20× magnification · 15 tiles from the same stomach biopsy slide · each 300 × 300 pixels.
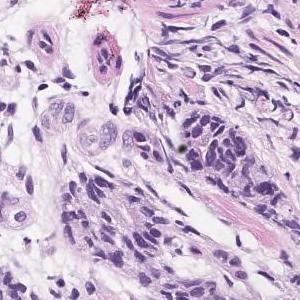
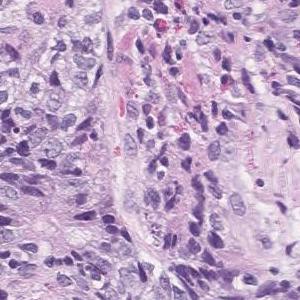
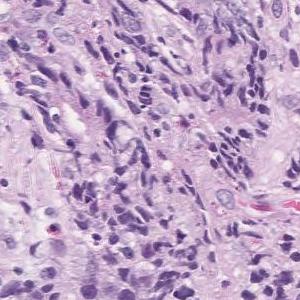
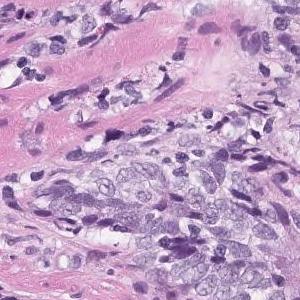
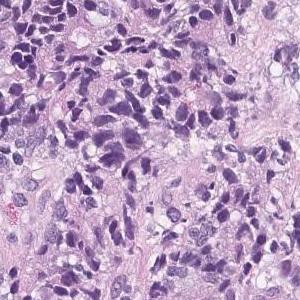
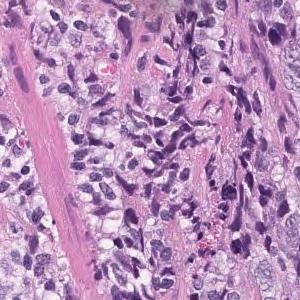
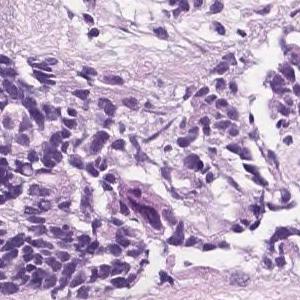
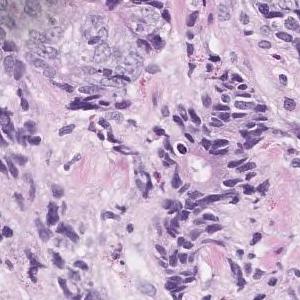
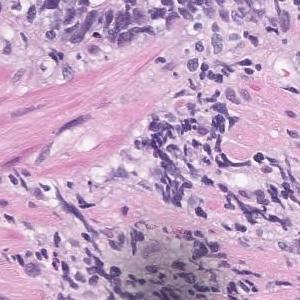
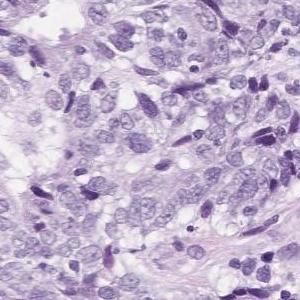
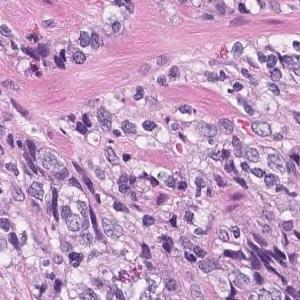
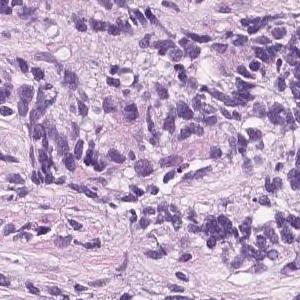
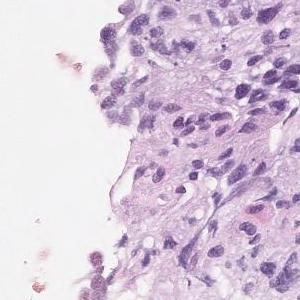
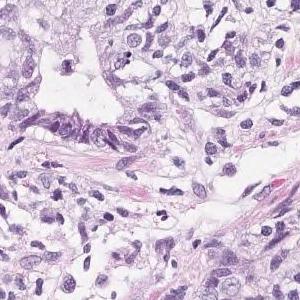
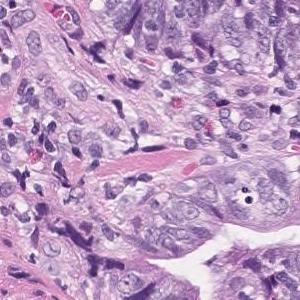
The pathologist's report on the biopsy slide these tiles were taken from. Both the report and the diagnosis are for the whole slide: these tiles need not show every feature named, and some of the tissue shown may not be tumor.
Highly columnar epithelium with disordered nuclear localization proliferates showing fusion ductal construction. moderately differentiated tubular adenocarcinoma
